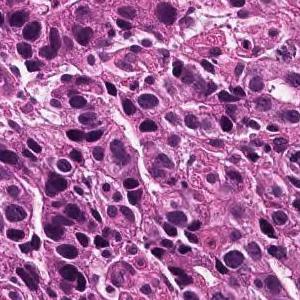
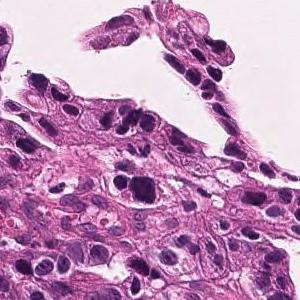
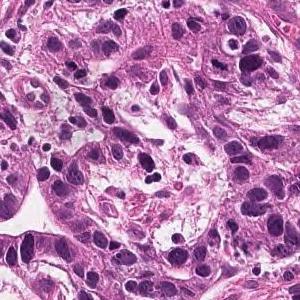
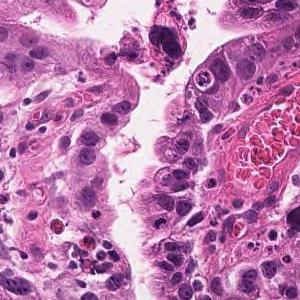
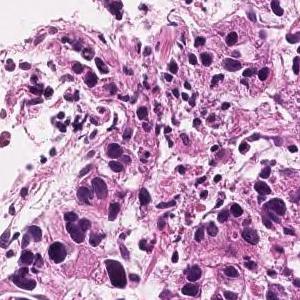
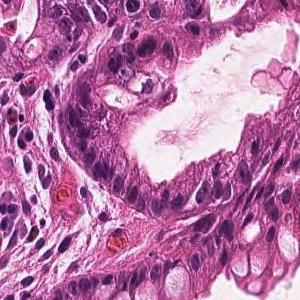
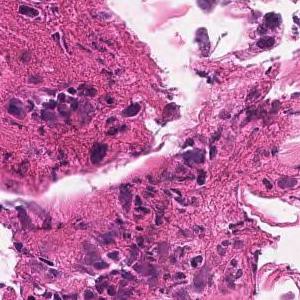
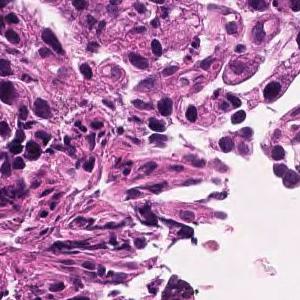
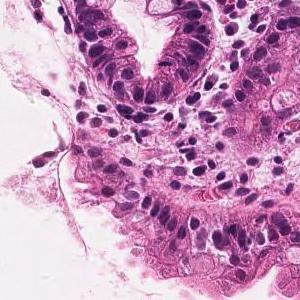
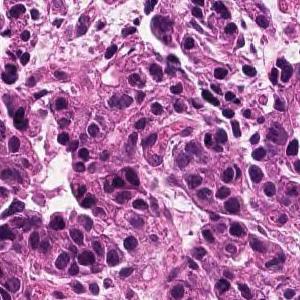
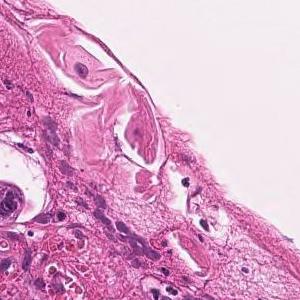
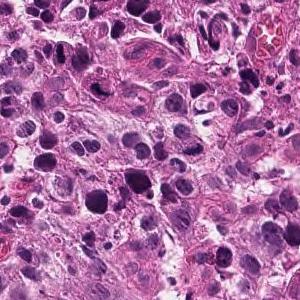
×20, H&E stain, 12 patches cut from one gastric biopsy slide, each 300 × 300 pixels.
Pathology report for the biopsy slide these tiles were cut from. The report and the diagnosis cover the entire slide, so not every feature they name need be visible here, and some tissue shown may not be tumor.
Tumor tissue consisting of medium-sized, cord-like or irregular glandular infiltration is observed in the superficial epithelium. Poorly differentiated adenocarcinoma, non-solid type or moderately differentiated tubular adenocarcinoma
Classified as moderately to poorly differentiated adenocarcinoma.
The non-solid type named here is a Japanese Classification of Gastric Carcinoma category.
